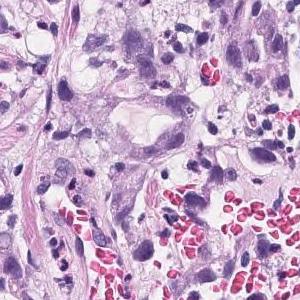
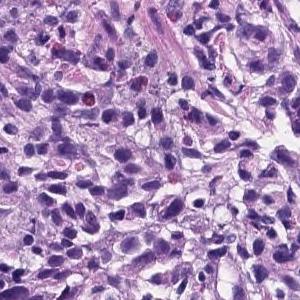
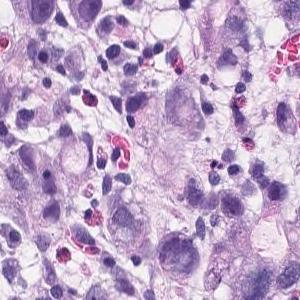
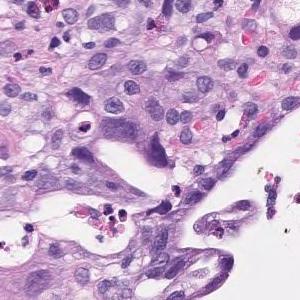
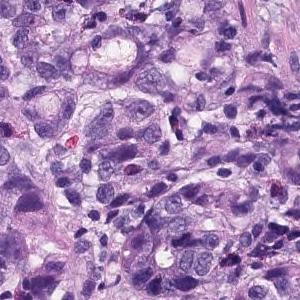
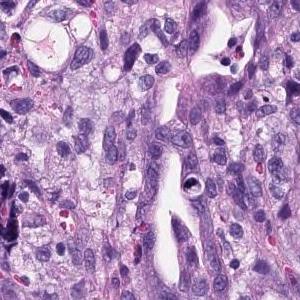
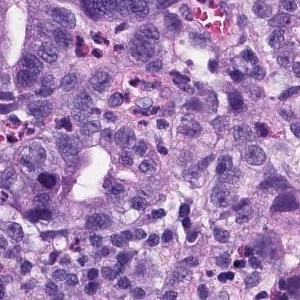
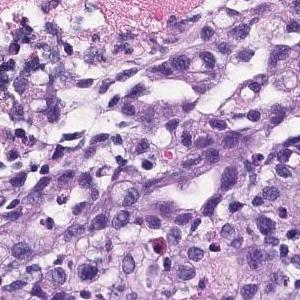
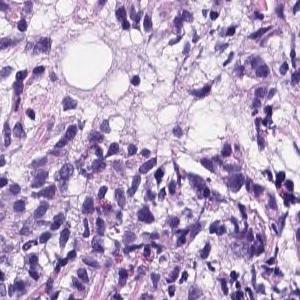
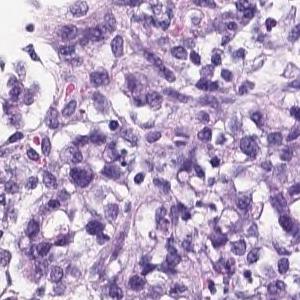
H&E; 20× magnification; 10 image tiles from a single gastric biopsy slide; 300 × 300 pixels each.
Diagnostic report for the slide these tiles come from. The report describes the whole slide, diagnosis included: not every finding it names need appear in these tiles, which may also show non-tumor tissue.
There are atypical l cells with atypical nuclei forming cord-like or irregular atypical ducts from solidity and proliferating in a comprehensive manner. Poorly differentiated adenocarcinoma, Moderately differentiated adenocarcinoma (poorly differentiated adenocarcinoma, solid type moderately differentiated tubular adenocarcinoma)
Classified as moderately to poorly differentiated adenocarcinoma.
The solid type named here is a Japanese Classification of Gastric Carcinoma category; WHO 2019 calls it tubular adenocarcinoma, poorly differentiated.
